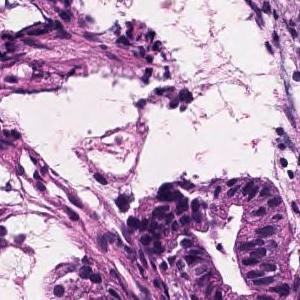
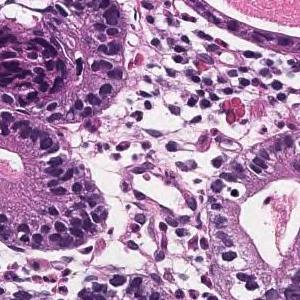
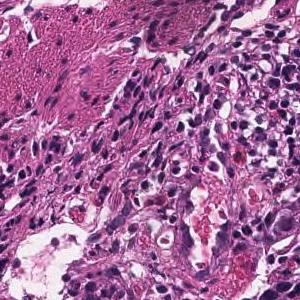
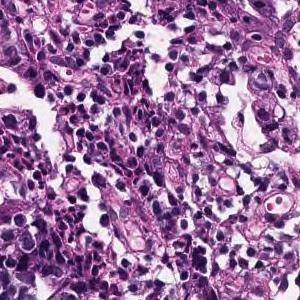
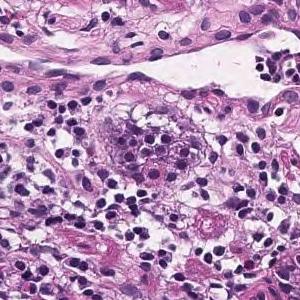
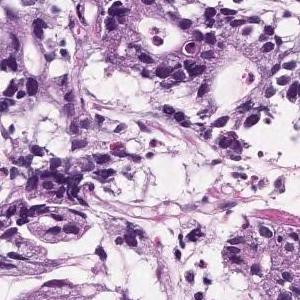
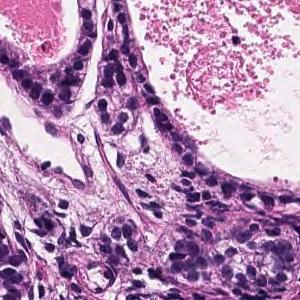
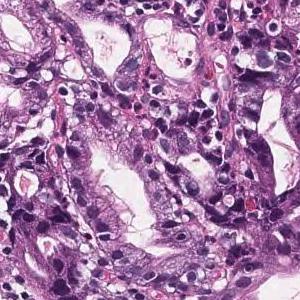
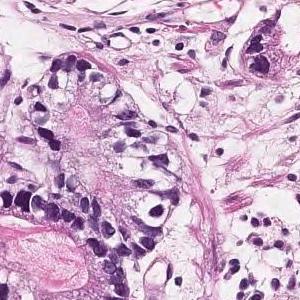
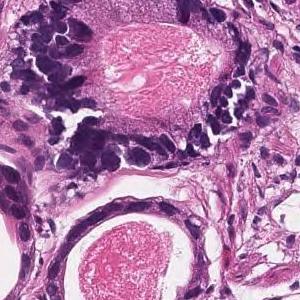
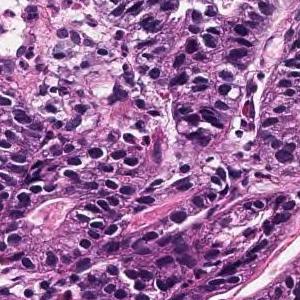
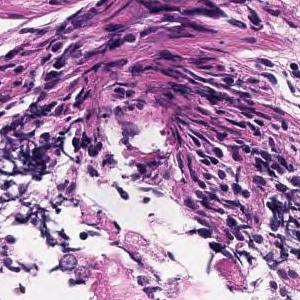
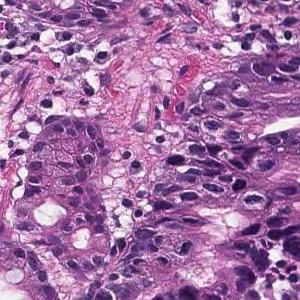
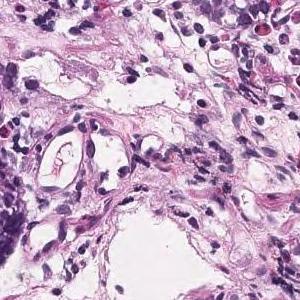
14 patches cut from one gastric biopsy slide · ×20.
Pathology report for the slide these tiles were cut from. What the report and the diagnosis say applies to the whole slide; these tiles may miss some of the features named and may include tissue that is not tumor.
Tumor tissue consisting of medium-sized and irregular ducts is observed infiltrating in the superficial epithelium. Tumor cells are highly columnar, with nuclei aligned basolaterally and polarized. Well differentiated tubular adenocarcinoma.
